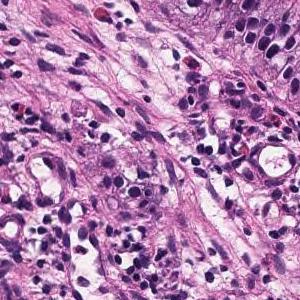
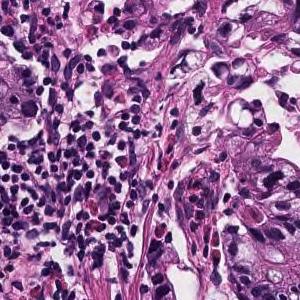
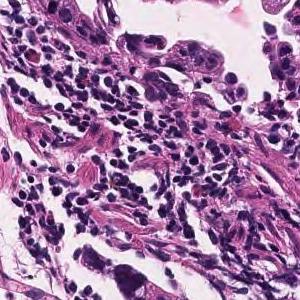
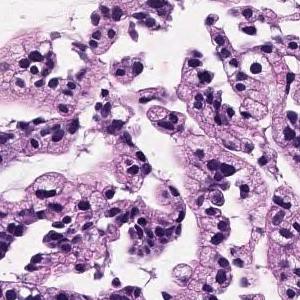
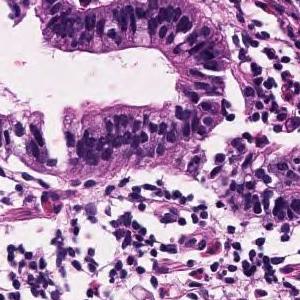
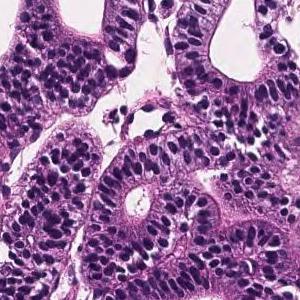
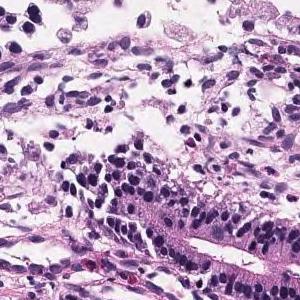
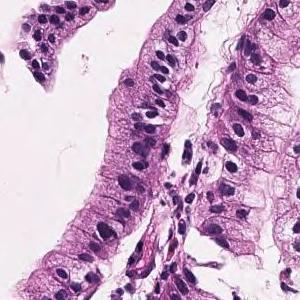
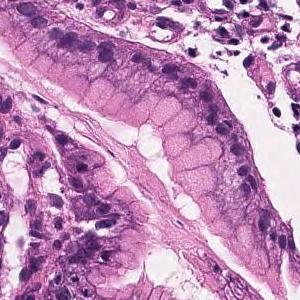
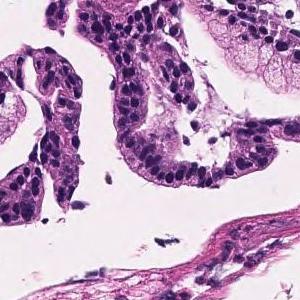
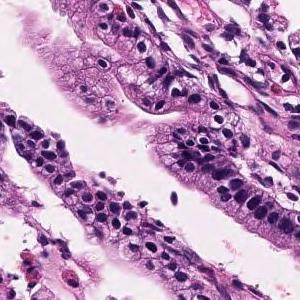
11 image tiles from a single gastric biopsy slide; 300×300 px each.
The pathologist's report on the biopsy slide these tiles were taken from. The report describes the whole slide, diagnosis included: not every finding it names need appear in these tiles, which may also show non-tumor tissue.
Tumor tissue consisting of large papillary structures or irregular glandular ducts partially fused and infiltrated is observed in the superficial epithelium. Well to moderately differentiated tubular adenocarcinoma.
Labeled in the dataset as moderately differentiated tubular adenocarcinoma.
